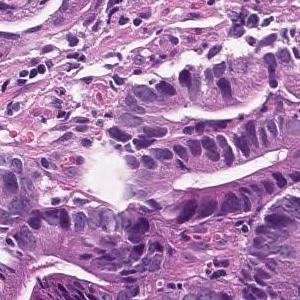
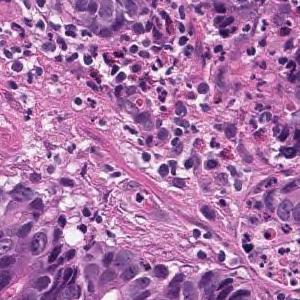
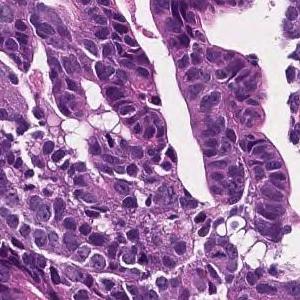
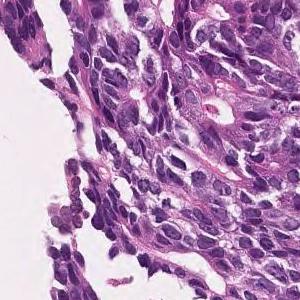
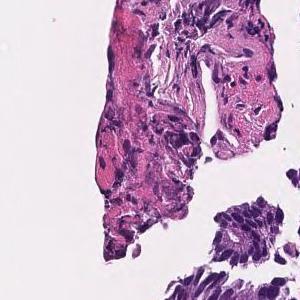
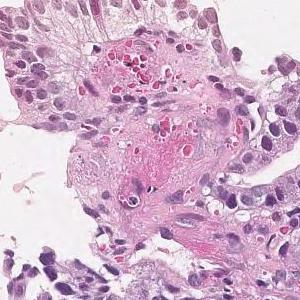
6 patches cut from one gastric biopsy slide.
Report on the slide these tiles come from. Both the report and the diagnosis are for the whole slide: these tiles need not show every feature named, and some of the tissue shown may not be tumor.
In the superficial epithelium, tumor tissue that invades by forming medium-sized to small, irregular ducts is observed. moderately differentiated tubular adenocarcinoma.
